6 patches cut from one gastric biopsy slide · 300 × 300 pixels each · 20× magnification · H&E.
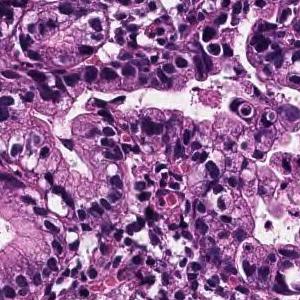
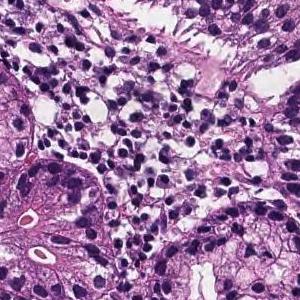
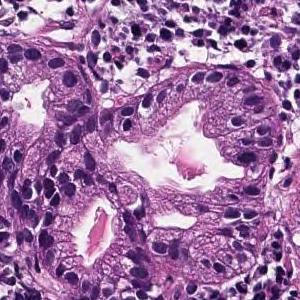
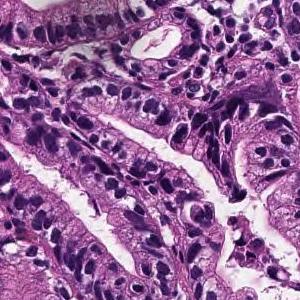
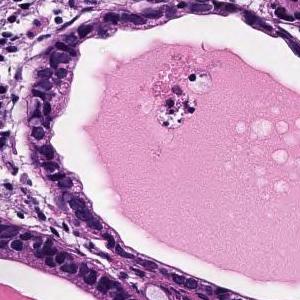
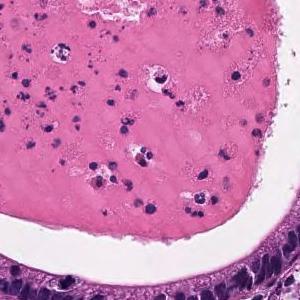
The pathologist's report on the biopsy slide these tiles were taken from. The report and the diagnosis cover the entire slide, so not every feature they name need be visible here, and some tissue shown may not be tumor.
From the superficial epithelium to the muscularis mucosae, tumor tissue consisting of medium-sized and irregular glandular ducts infiltrating is observed. Well differentiated tubular adenocarcinoma
